7 image tiles from a single gastric biopsy slide · each 300 × 300 pixels · H&E stain.
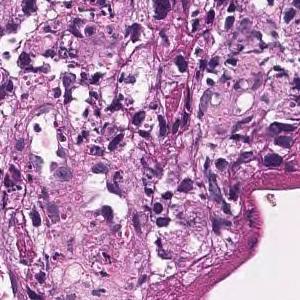
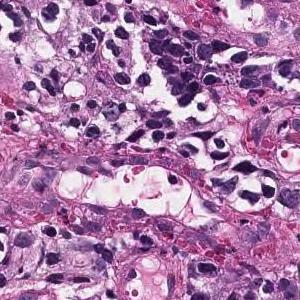
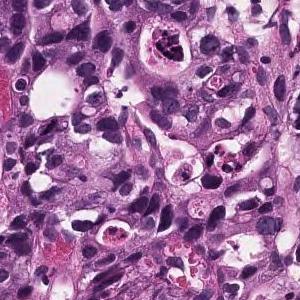
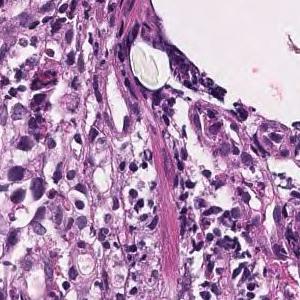
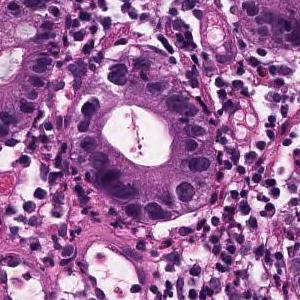
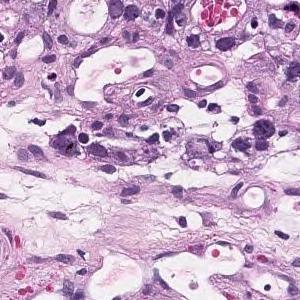
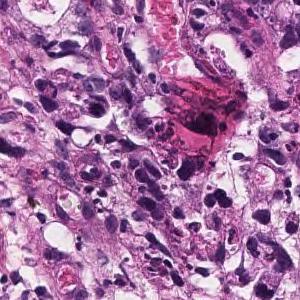
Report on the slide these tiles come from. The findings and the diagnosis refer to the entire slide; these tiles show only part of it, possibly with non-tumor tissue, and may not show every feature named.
Tumor tissue consisting of medium-sized, cord-like or irregular glandular infiltration is observed in the superficial epithelium. Poorly differentiated adenocarcinoma, non-solid type or moderately differentiated tubular adenocarcinoma
The non-solid type named here is a Japanese Classification of Gastric Carcinoma category.
